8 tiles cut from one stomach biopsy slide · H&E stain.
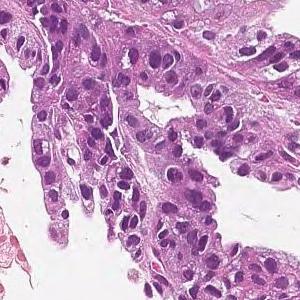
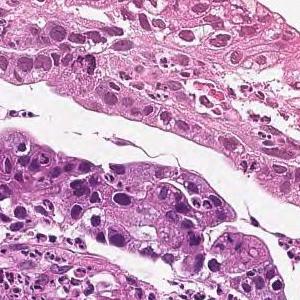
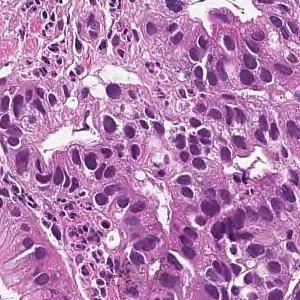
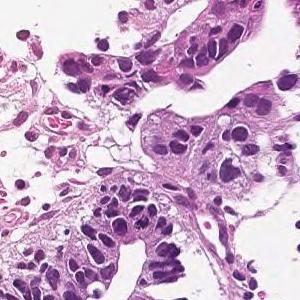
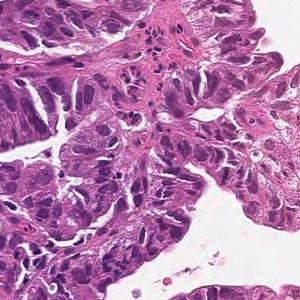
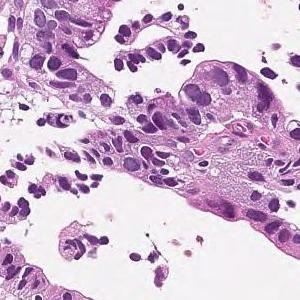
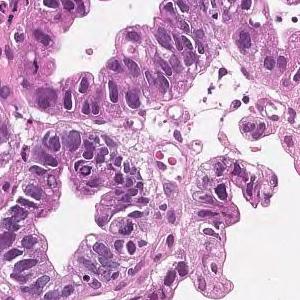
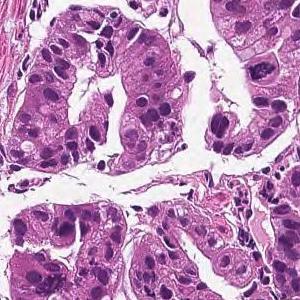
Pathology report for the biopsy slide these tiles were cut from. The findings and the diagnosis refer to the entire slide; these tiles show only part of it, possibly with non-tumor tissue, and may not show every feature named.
On the superficial epithelium, tumor tissue that infiltrates by forming medium-sized papillary or small irregular ducts is observed. Papillary adenocarcinoma
